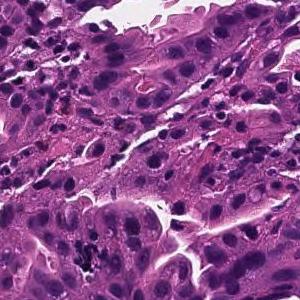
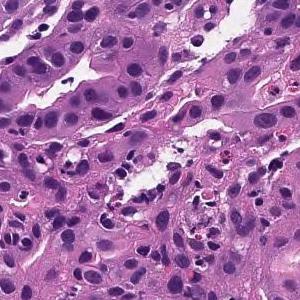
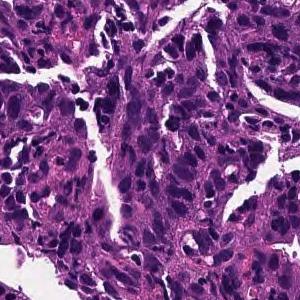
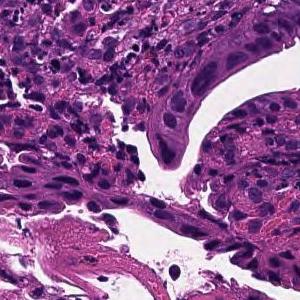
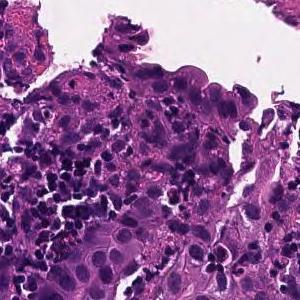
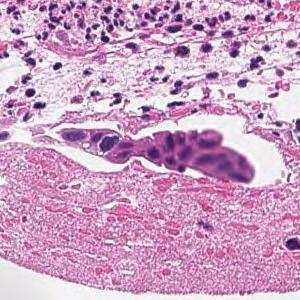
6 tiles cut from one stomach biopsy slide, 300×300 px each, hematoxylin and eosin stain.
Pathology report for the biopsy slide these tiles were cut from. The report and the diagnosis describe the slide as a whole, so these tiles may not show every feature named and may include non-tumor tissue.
In the superficial epithelium, tumor tissue that invades by forming medium-sized to small, irregular ducts is observed. moderately differentiated tubular adenocarcinoma.
